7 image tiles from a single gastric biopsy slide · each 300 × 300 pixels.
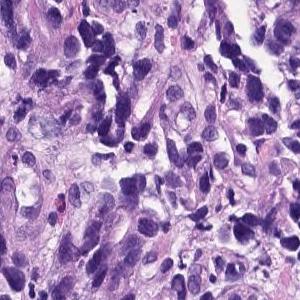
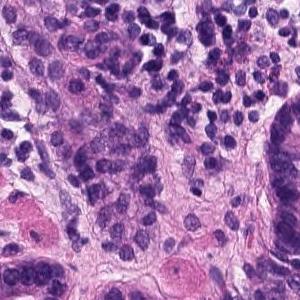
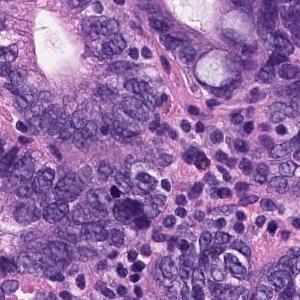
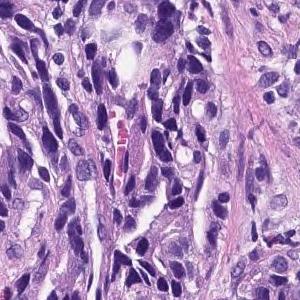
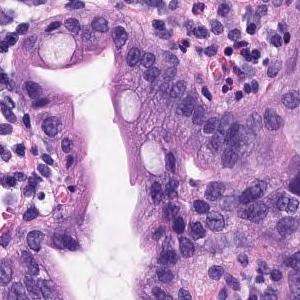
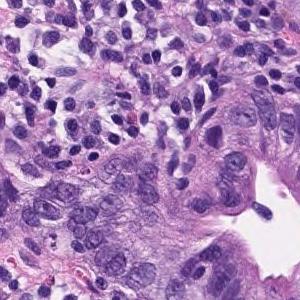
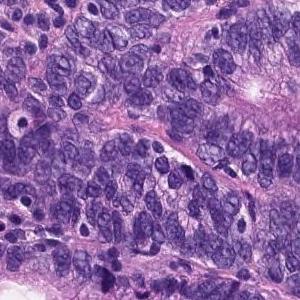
Diagnostic report for the slide these tiles come from. The report describes the whole slide, diagnosis included: not every finding it names need appear in these tiles, which may also show non-tumor tissue.
On the superficial epithelium, tumor tissue consisting of images showing invasive growth with small, irregular tubules partially fused is observed. moderately differentiated tubular adenocarcinoma
